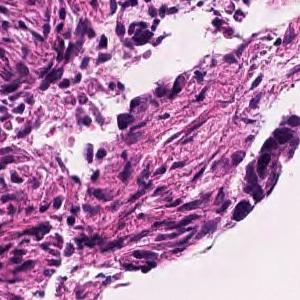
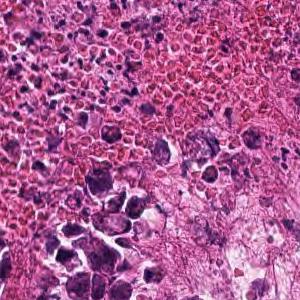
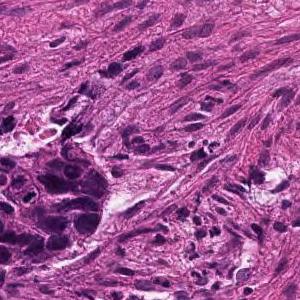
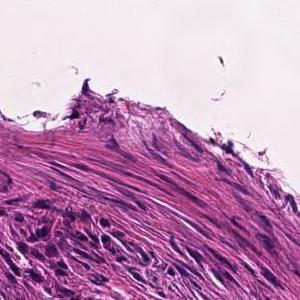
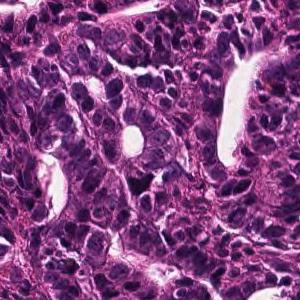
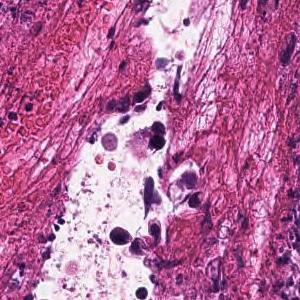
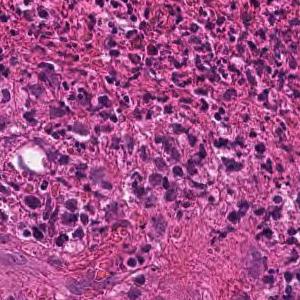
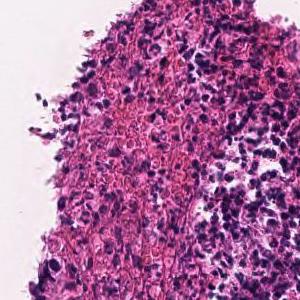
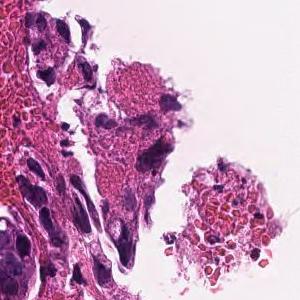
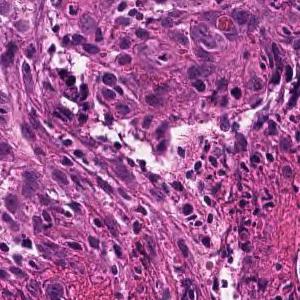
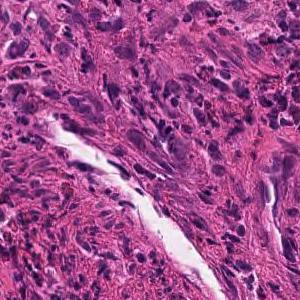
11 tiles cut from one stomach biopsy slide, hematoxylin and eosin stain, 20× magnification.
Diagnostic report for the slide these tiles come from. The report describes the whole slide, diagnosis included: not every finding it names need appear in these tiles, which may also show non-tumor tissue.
In the superficial epithelium, tumor tissue that invades by forming medium-sized to small, irregular ducts is observed. moderately differentiated tubular adenocarcinoma.
